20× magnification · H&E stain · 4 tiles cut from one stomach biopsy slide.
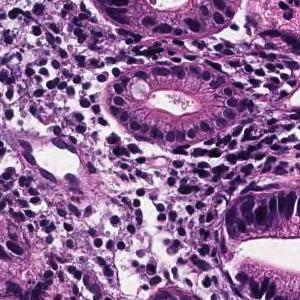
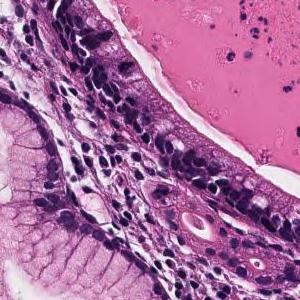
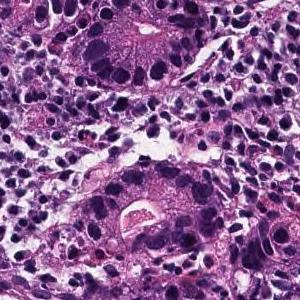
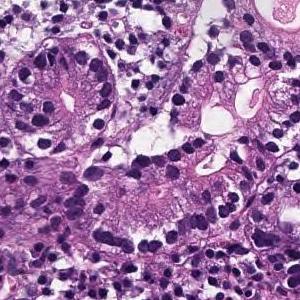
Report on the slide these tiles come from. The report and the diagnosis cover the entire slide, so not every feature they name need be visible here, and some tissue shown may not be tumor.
From the superficial epithelium to the muscularis mucosae, tumor tissue consisting of medium-sized and irregular glandular ducts infiltrating is observed. Well differentiated tubular adenocarcinoma
